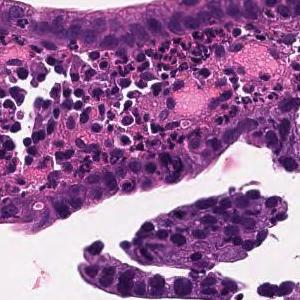
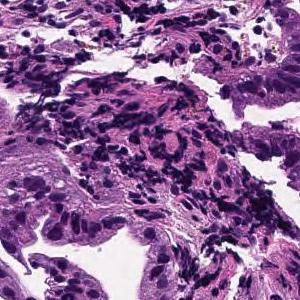
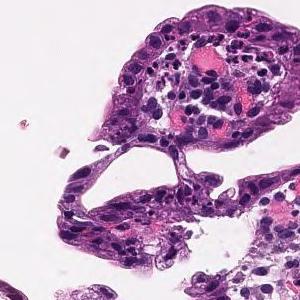
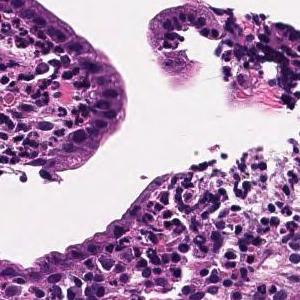
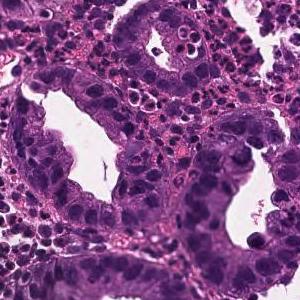
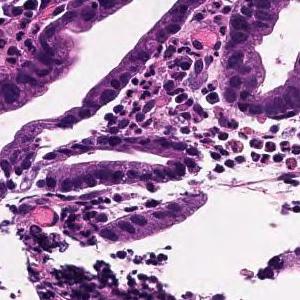
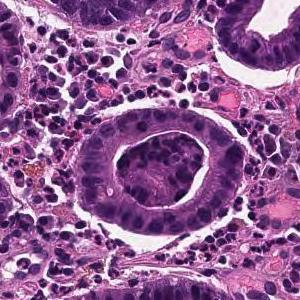
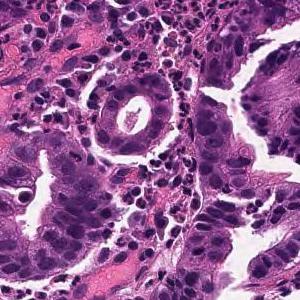
8 image tiles from a single gastric biopsy slide, 300×300 px each, 20× magnification, hematoxylin and eosin stain.
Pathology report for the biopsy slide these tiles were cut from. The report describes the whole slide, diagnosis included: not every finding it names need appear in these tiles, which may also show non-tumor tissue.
From the superficial epithelium to the muscularis mucosae, tumor tissue consisting of medium-sized and irregular glandular ducts infiltrating is observed. Well differentiated tubular adenocarcinoma
